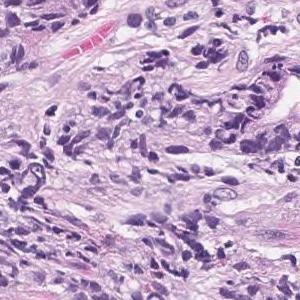
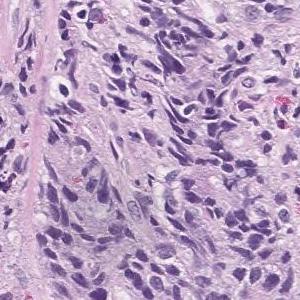
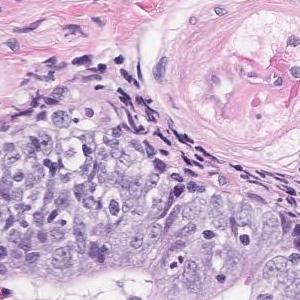
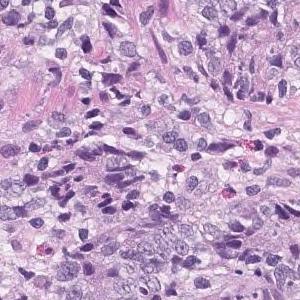
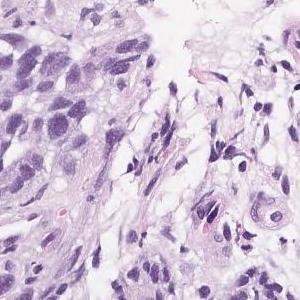
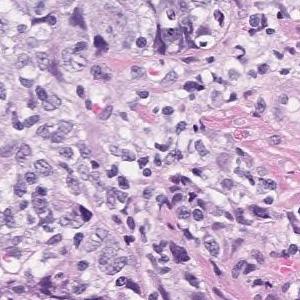
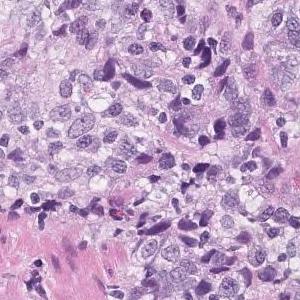
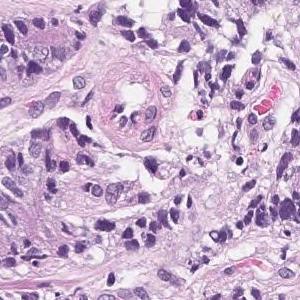
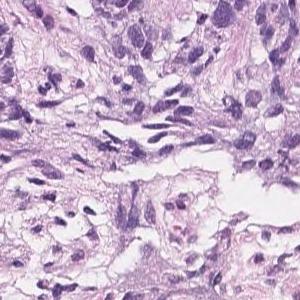
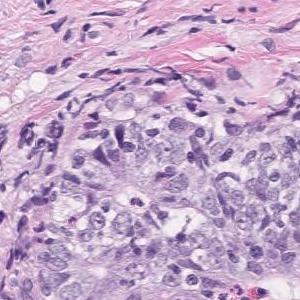
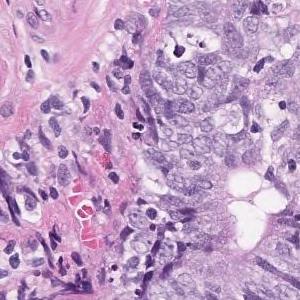
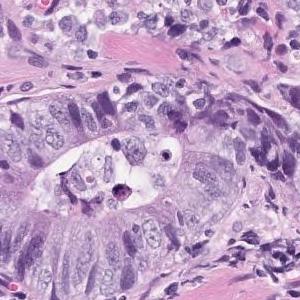
12 tiles from the same stomach biopsy slide, 300 × 300 pixels each, scanned at ×20.
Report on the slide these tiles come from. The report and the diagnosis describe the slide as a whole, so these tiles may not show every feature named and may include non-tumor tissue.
Highly columnar epithelium with disordered nuclear localization proliferates showing fusion ductal construction. moderately differentiated tubular adenocarcinoma
